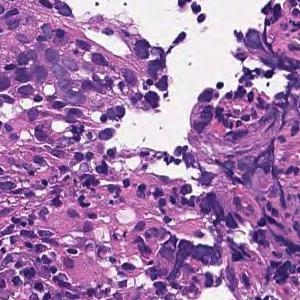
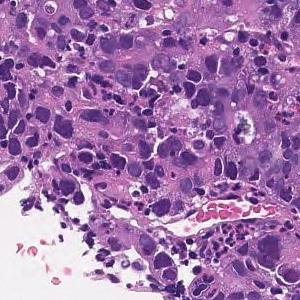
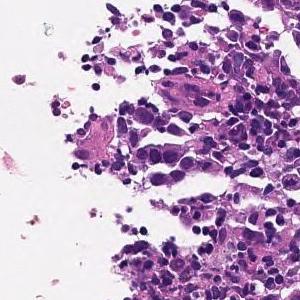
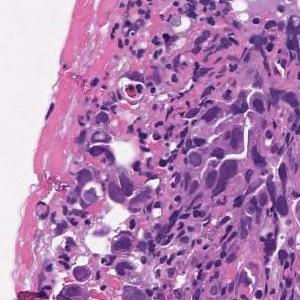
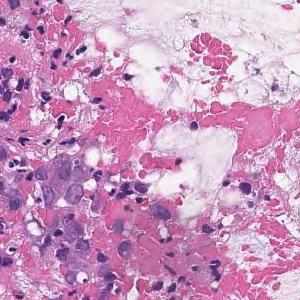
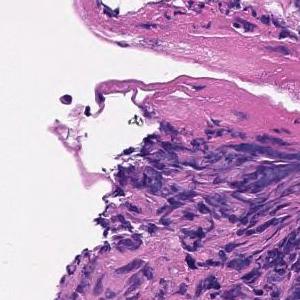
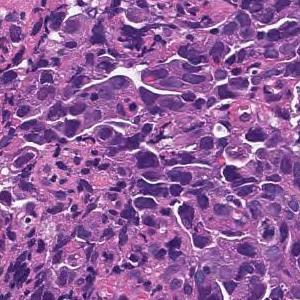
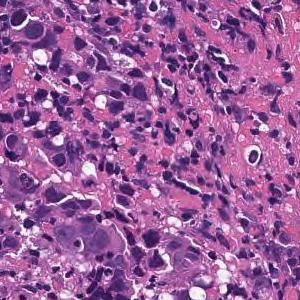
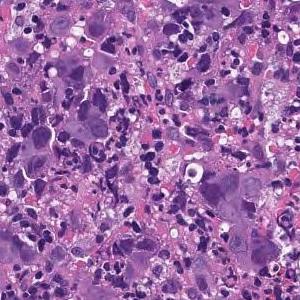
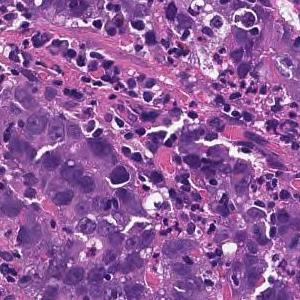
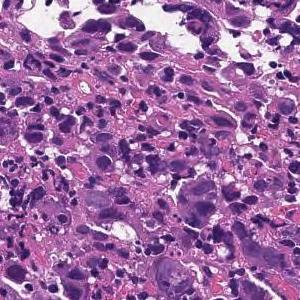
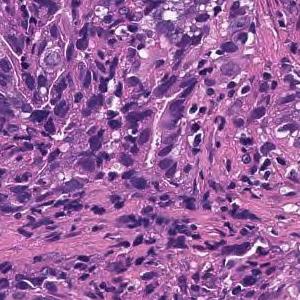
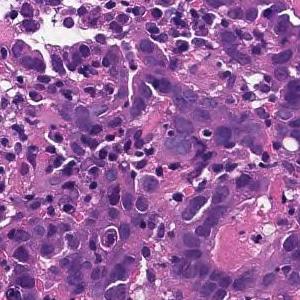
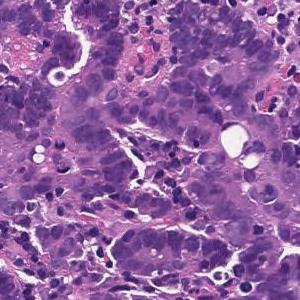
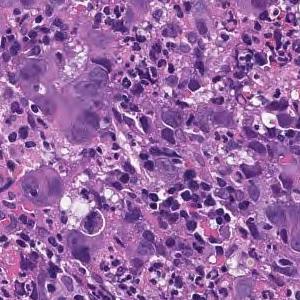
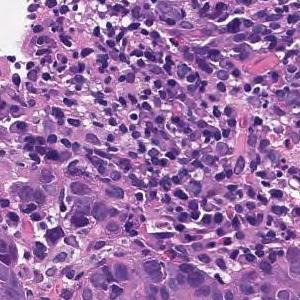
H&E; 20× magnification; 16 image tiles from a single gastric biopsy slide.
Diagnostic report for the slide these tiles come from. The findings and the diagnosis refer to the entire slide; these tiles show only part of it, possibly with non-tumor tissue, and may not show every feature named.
Tumor tissue consisting of cord-like or small, irregular glandular ducts fused and infiltrated is observed in the superficial epithelium. Poorly differentiated adenocarcinoma, non-solid type
The non-solid type named here is a Japanese Classification of Gastric Carcinoma category.
